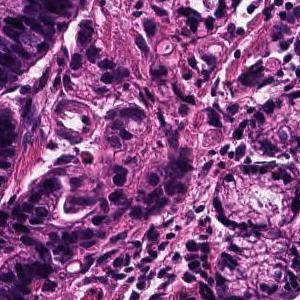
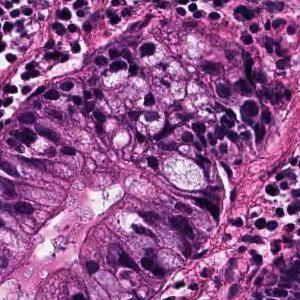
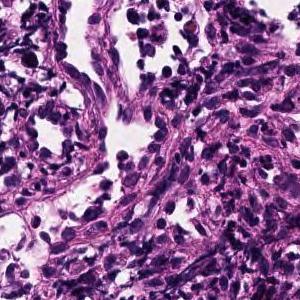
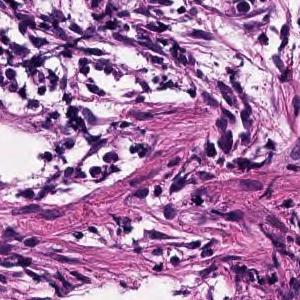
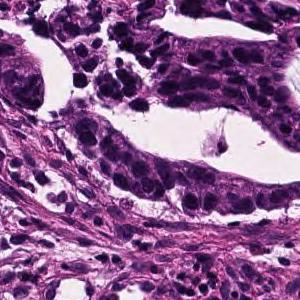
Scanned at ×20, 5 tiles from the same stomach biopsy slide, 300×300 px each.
Report on the slide these tiles come from. The findings and the diagnosis refer to the entire slide; these tiles show only part of it, possibly with non-tumor tissue, and may not show every feature named.
On the superficial epithelium, tumor tissue consisting of large, irregular glandular ducts partially fused and infiltrated is observed. Well to moderately differentiated tubular adenocarcinoma (well differentiated tubular adenocarcinoma, moderately differentiated tubular adenocarcinoma)
Subtype: Well to moderately differentiated tubular adenocarcinoma.
